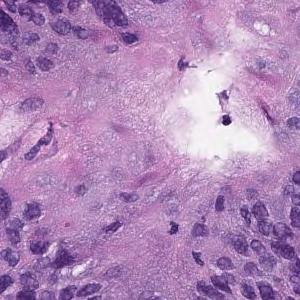
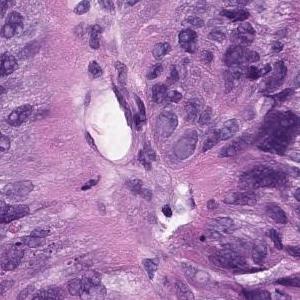
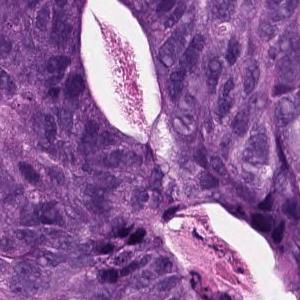
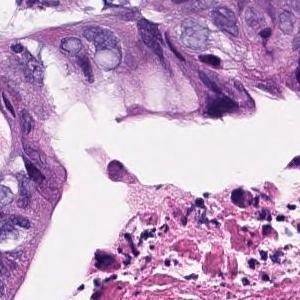
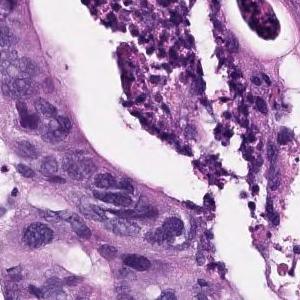
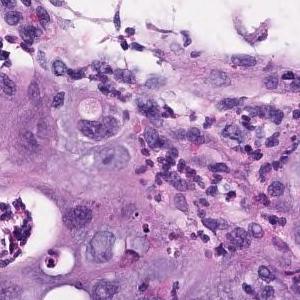
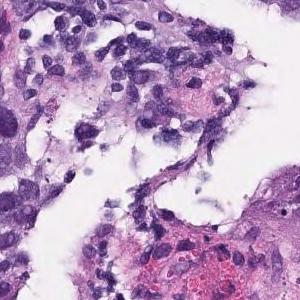
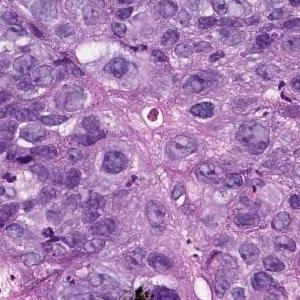
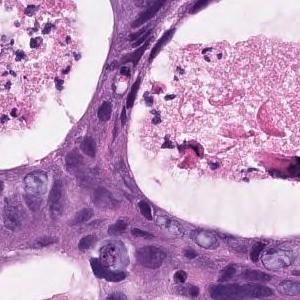
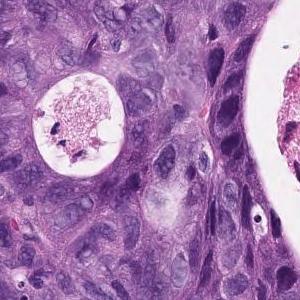
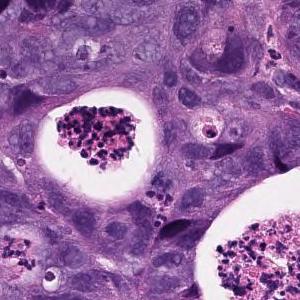
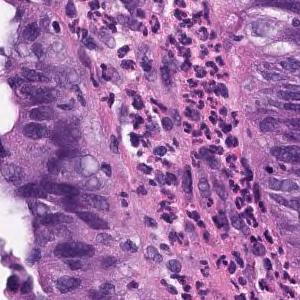
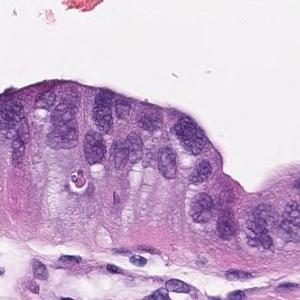
13 tiles cut from one stomach biopsy slide, 300×300 px each.
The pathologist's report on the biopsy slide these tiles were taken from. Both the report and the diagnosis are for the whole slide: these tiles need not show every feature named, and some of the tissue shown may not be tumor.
In the superficial epithelium, tumor tissue that invades by forming medium-sized to small, irregular ducts is observed. Moderately differentiated adenocarcinoma.
Tumor subtype: moderately differentiated tubular adenocarcinoma.
